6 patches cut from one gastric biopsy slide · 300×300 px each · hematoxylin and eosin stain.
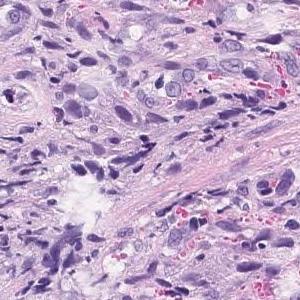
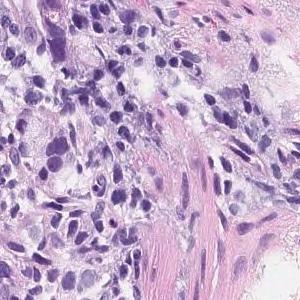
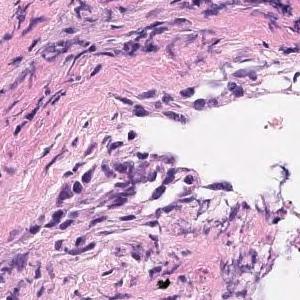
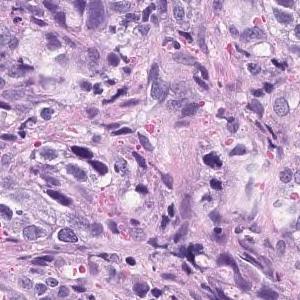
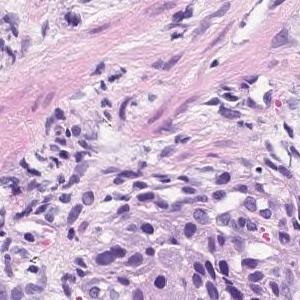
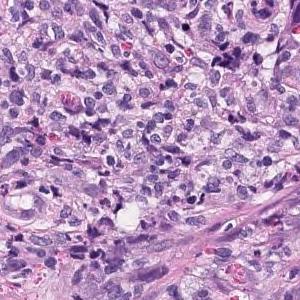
Pathology report for the biopsy slide these tiles were cut from. The report and the diagnosis describe the slide as a whole, so these tiles may not show every feature named and may include non-tumor tissue.
Group 5, Moderately differentiated adenocarcinoma
Classified as moderately differentiated tubular adenocarcinoma.
